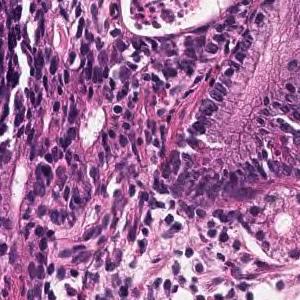
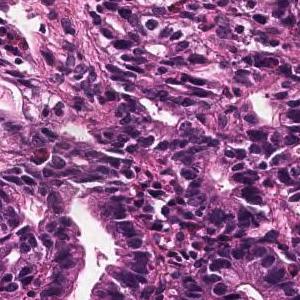
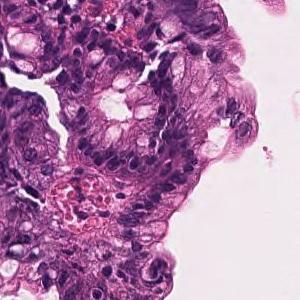
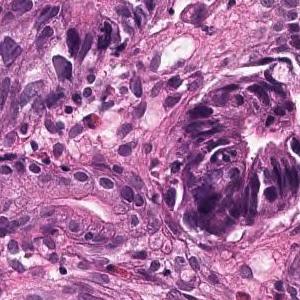
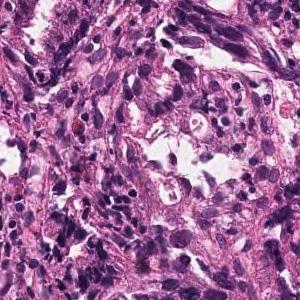
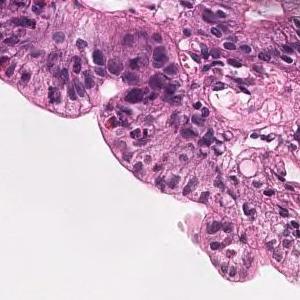
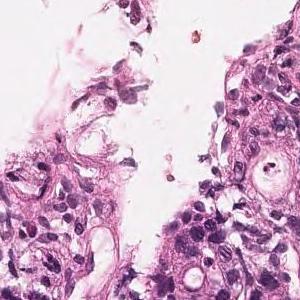
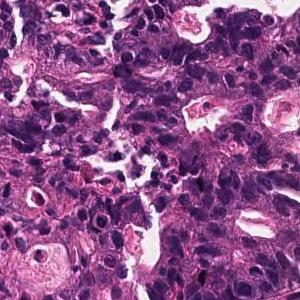
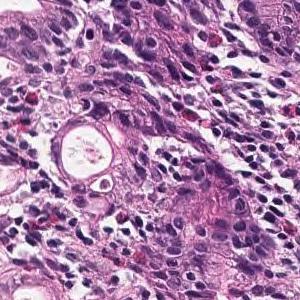
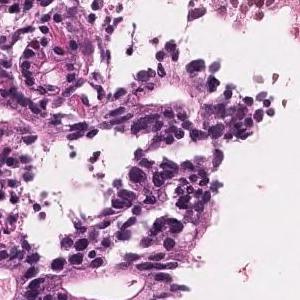
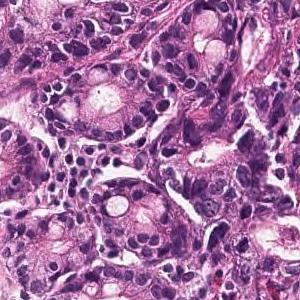
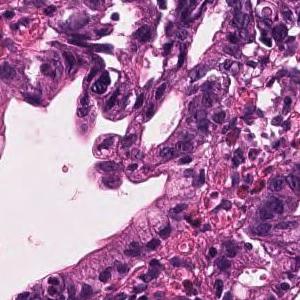
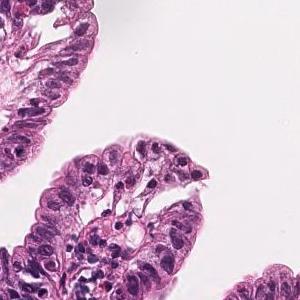
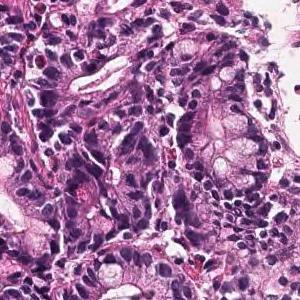
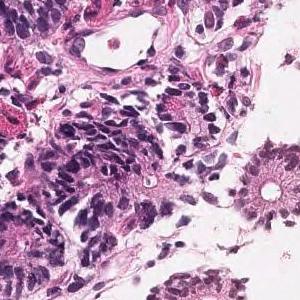
15 tiles cut from one stomach biopsy slide, each 300 × 300 pixels, H&E stain.
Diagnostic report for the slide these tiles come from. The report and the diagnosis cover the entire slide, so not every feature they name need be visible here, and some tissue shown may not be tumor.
On the superficial epithelium, tumor tissue consisting of large, irregular glandular ducts partially fused and infiltrated is observed. Well to moderately differentiated tubular adenocarcinoma (well differentiated tubular adenocarcinoma, moderately differentiated tubular adenocarcinoma)
Histologic type: Well to moderately differentiated tubular adenocarcinoma.
